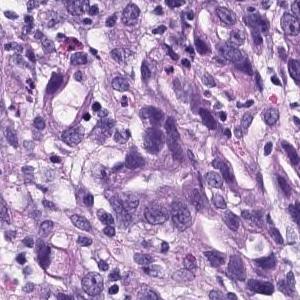
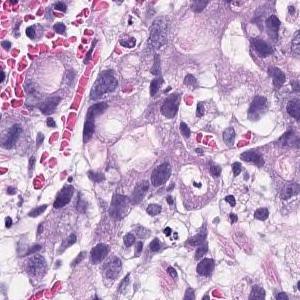
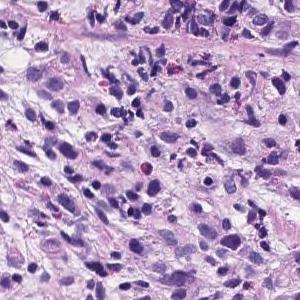
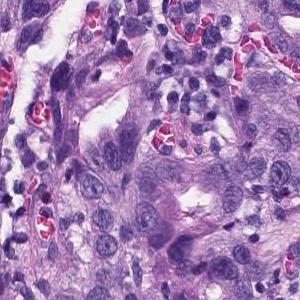
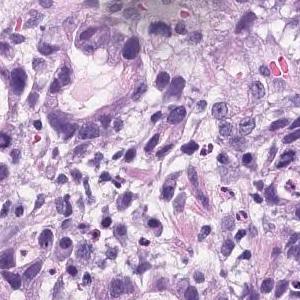
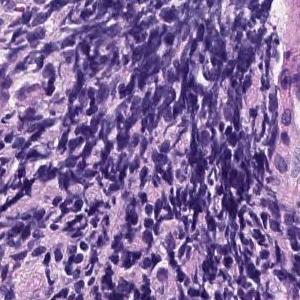
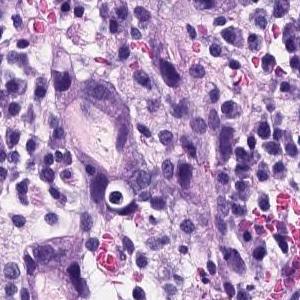
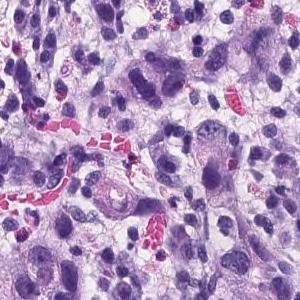
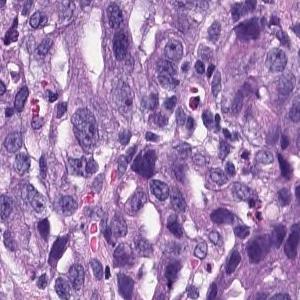
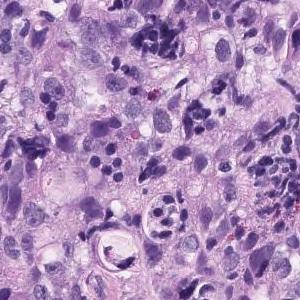
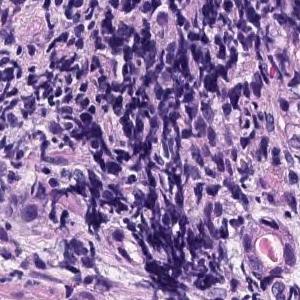
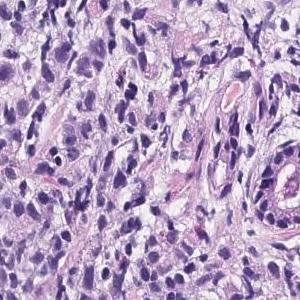
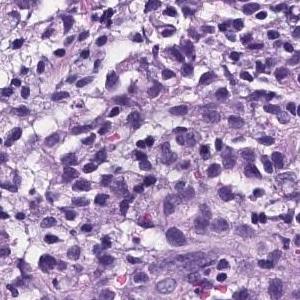
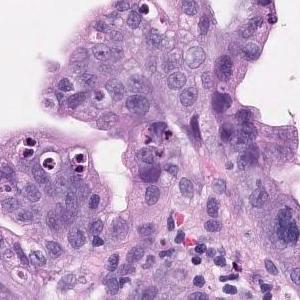
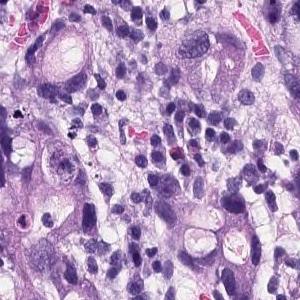
15 patches cut from one gastric biopsy slide, 300 × 300 pixels each, ×20.
Report on the slide these tiles come from. Both the report and the diagnosis are for the whole slide: these tiles need not show every feature named, and some of the tissue shown may not be tumor.
There are atypical l cells with atypical nuclei forming cord-like or irregular atypical ducts from solidity and proliferating in a comprehensive manner. Poorly differentiated adenocarcinoma, Moderately differentiated adenocarcinoma (poorly differentiated adenocarcinoma, solid type moderately differentiated tubular adenocarcinoma)
Classified as moderately to poorly differentiated adenocarcinoma.
The term "solid type" comes from the Japanese Classification of Gastric Carcinoma; the WHO 2019 equivalent is tubular adenocarcinoma, poorly differentiated.
